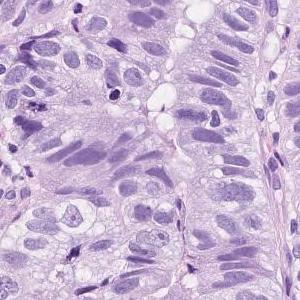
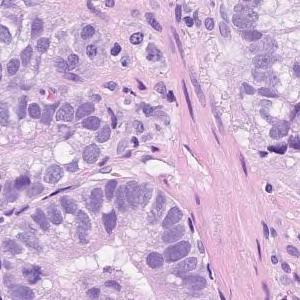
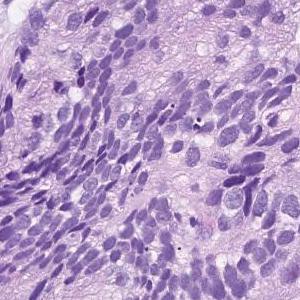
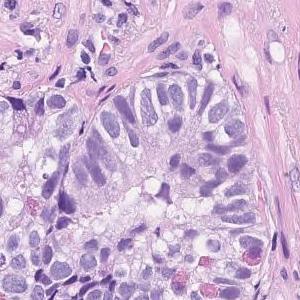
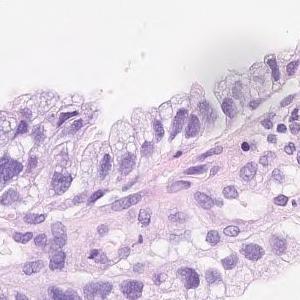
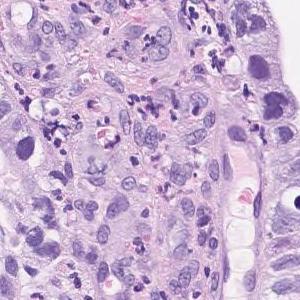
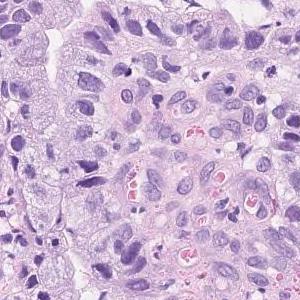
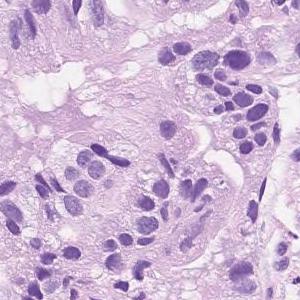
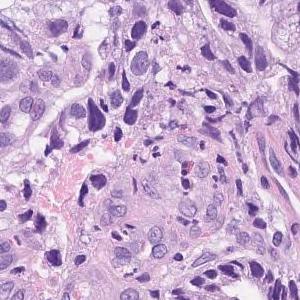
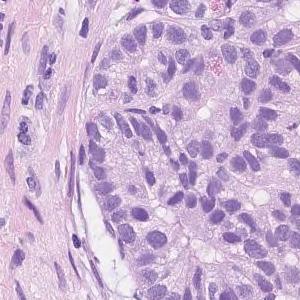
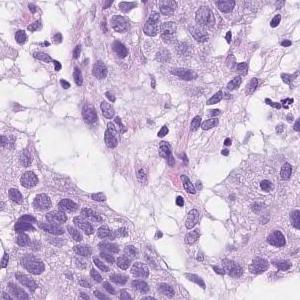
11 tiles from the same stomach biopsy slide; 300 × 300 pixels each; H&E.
Diagnostic report for the slide these tiles come from. The findings and the diagnosis refer to the entire slide; these tiles show only part of it, possibly with non-tumor tissue, and may not show every feature named.
Atypical l cells with atypical nuclei forming solid or diffuse vesicles or small irregular atypical ducts and growing in a complex manner. moderately differentiated tubular adenocarcinoma
